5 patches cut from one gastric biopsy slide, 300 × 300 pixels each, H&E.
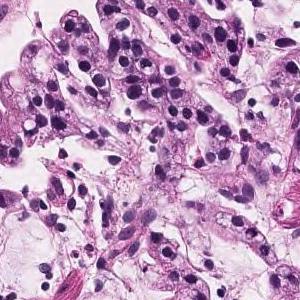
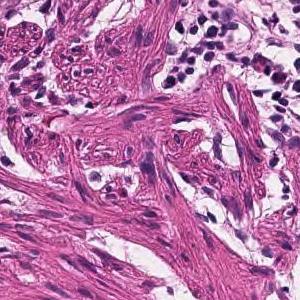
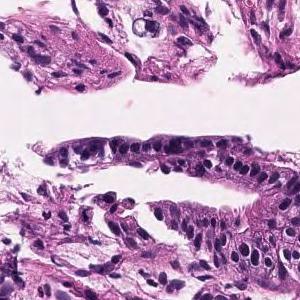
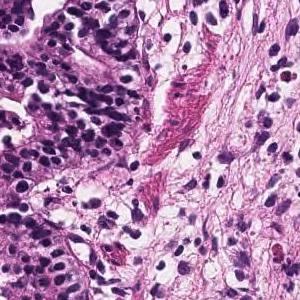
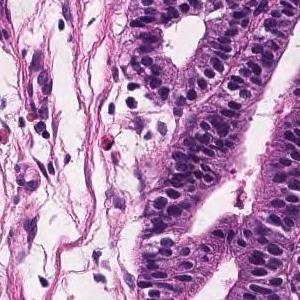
Report on the slide these tiles come from. The report and the diagnosis cover the entire slide, so not every feature they name need be visible here, and some tissue shown may not be tumor.
Tumor tissue consisting of large papillary structures or irregular glandular ducts partially fused and infiltrated is observed in the superficial epithelium. Well to moderately differentiated tubular adenocarcinoma.
Labeled in the dataset as moderately differentiated tubular adenocarcinoma.
